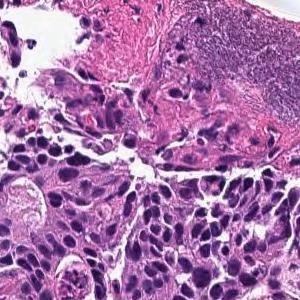
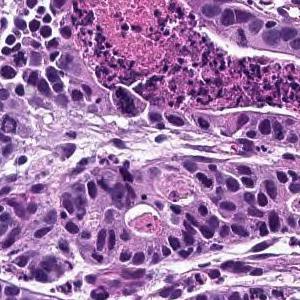
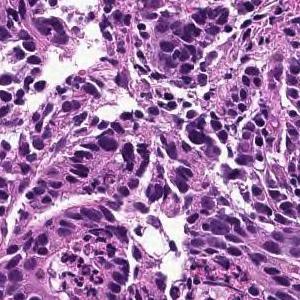
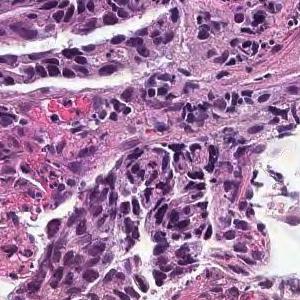
4 patches cut from one gastric biopsy slide, 300 × 300 pixels each, scanned at ×20.
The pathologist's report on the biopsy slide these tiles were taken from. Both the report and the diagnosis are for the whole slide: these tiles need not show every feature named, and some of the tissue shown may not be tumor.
In the superficial epithelium, tumor tissue that invades by forming medium-sized to small, irregular ducts is observed. moderately differentiated tubular adenocarcinoma.
